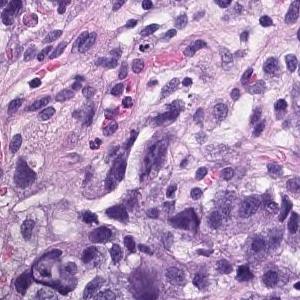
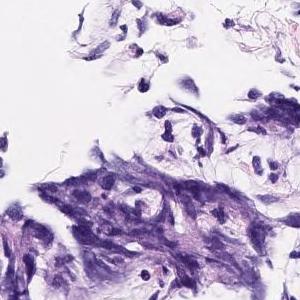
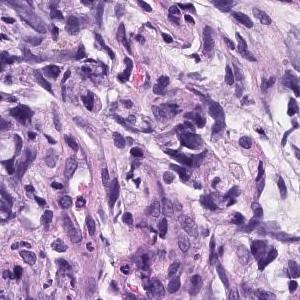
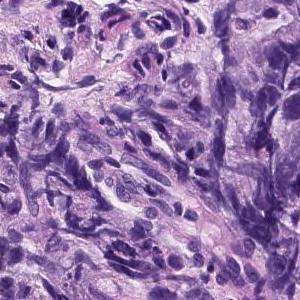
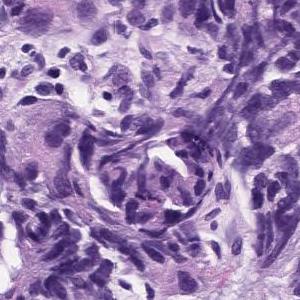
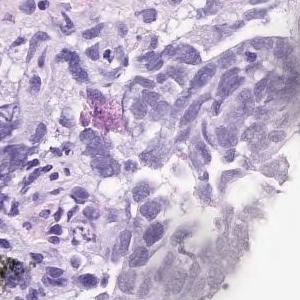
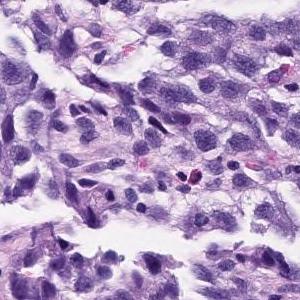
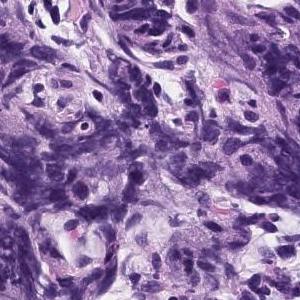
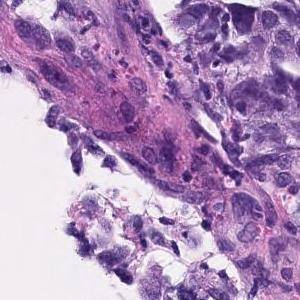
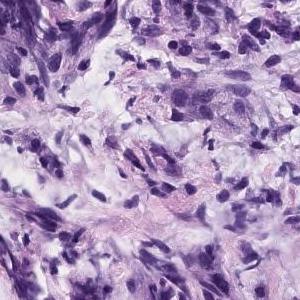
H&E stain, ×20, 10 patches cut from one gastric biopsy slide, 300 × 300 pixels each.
The pathologist's report on the biopsy slide these tiles were taken from. Both the report and the diagnosis are for the whole slide: these tiles need not show every feature named, and some of the tissue shown may not be tumor.
Atypical epithelial cells with an increased N/C ratio proliferate and consist of a part that shows the formation of gland ducts and a part that shows solid growth. Poorly differentiated adenocarcinoma, solid-type
Histologic type: Poorly differentiated adenocarcinoma, solid type (Japanese Classification of Gastric Carcinoma). The WHO 2019 equivalent is tubular adenocarcinoma, poorly differentiated.
